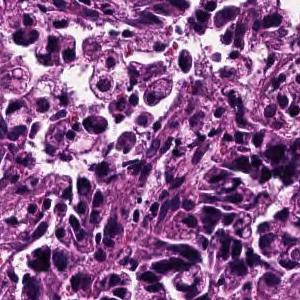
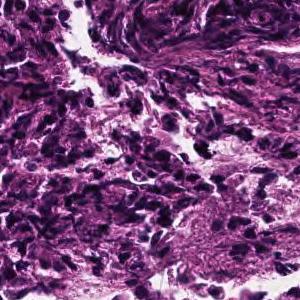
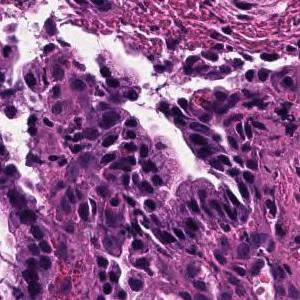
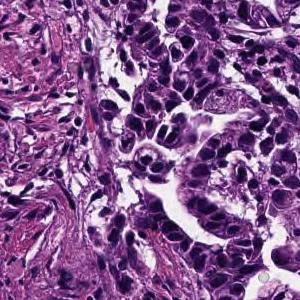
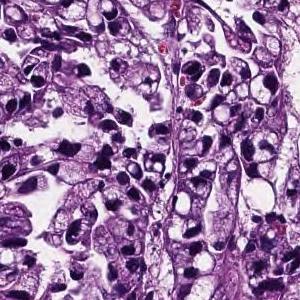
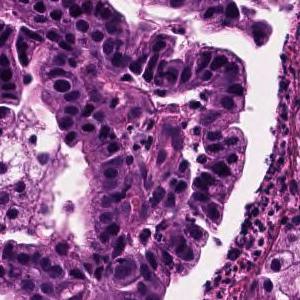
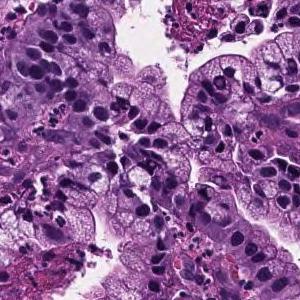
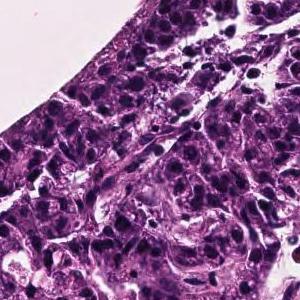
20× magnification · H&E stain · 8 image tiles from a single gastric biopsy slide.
Pathology report for the slide these tiles were cut from. What the report and the diagnosis say applies to the whole slide; these tiles may miss some of the features named and may include tissue that is not tumor.
Tumor cells are large, highly columnar, large club-shaped nuclei, and are associated with chromatin aggregation. Papillary adenocarcinoma.
